9 image tiles from a single gastric biopsy slide · 300×300 px each · H&E stain · ×20.
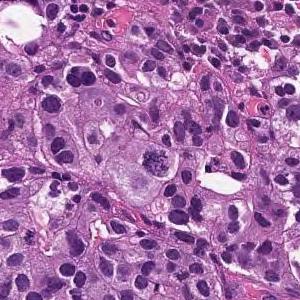
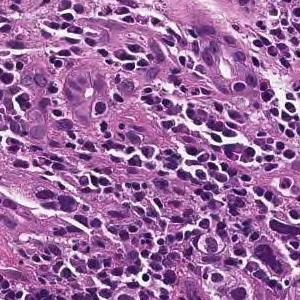
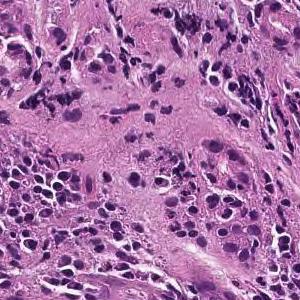
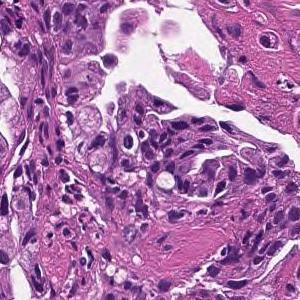
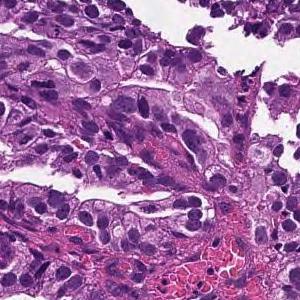
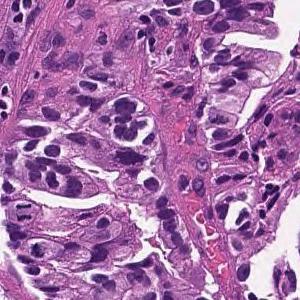
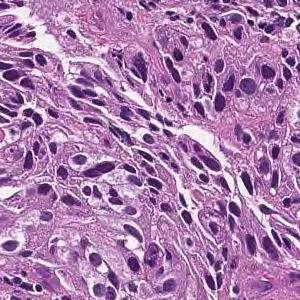
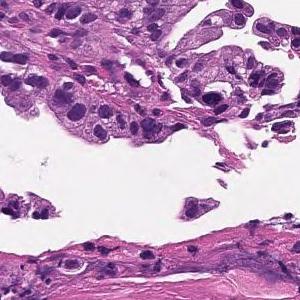
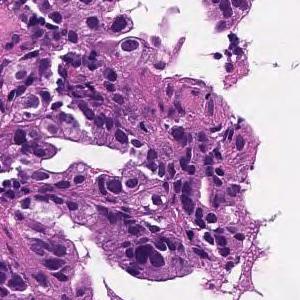
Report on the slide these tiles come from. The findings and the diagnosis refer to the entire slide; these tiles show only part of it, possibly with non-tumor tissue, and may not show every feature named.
Medium to small, irregular glandular ducts are formed in the superficial epithelium, and in some cases, the glandular ducts are fused to show solid alveolar lesions and infiltrating tumor tissue is observed. Moderately to poorly differentiated adenocarcinoma.
